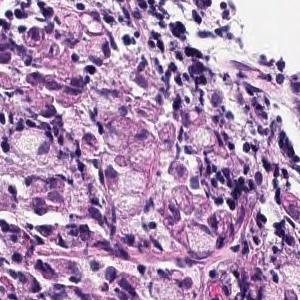
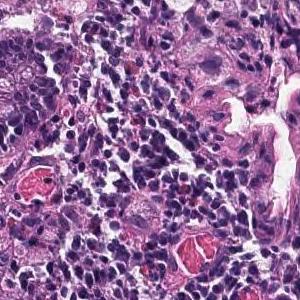
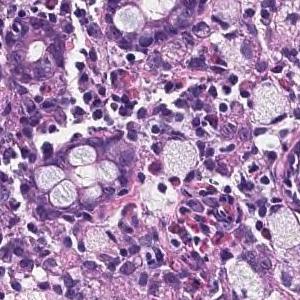
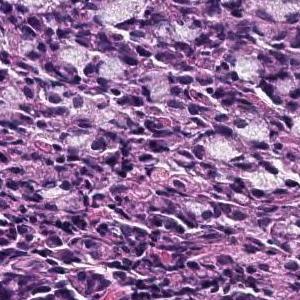
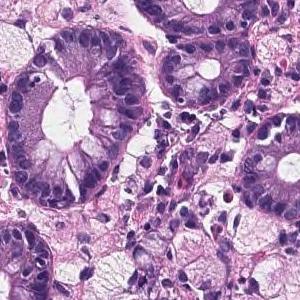
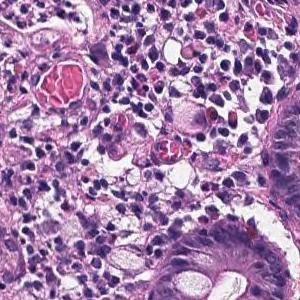
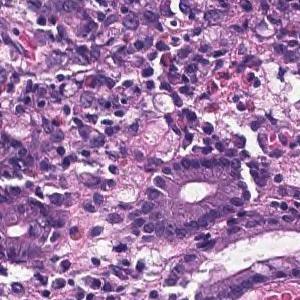
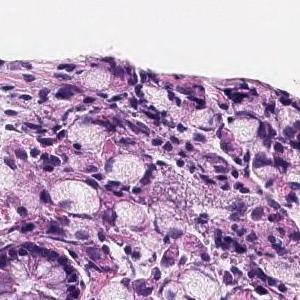
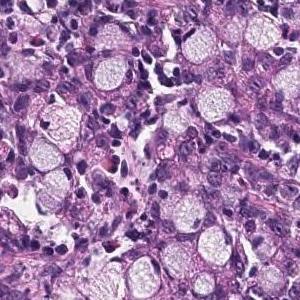
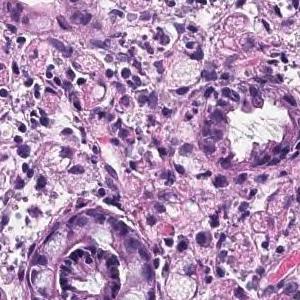
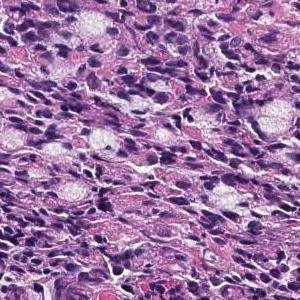
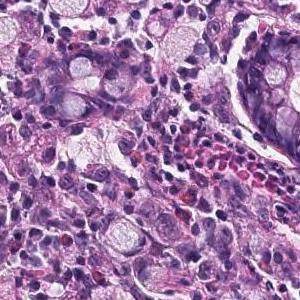
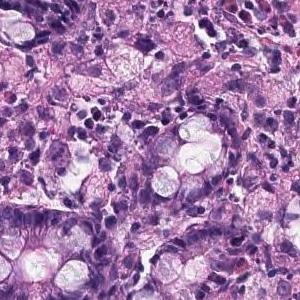
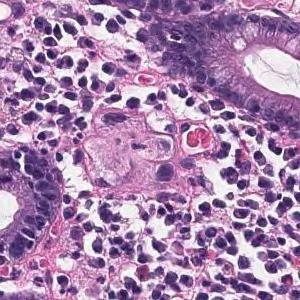
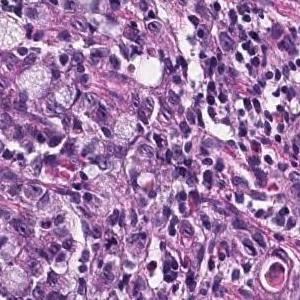
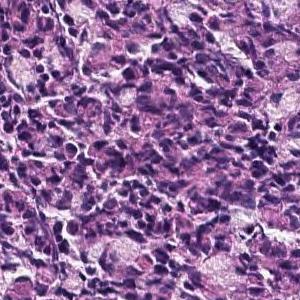
×20; H&E; 16 image tiles from a single gastric biopsy slide; 300 × 300 pixels each.
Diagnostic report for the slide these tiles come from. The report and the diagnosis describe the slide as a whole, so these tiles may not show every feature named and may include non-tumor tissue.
A tumor tissue consisting of signet ring cell carcinoma cells is observed in the lamina propria. Signet ring cell carcinoma.
